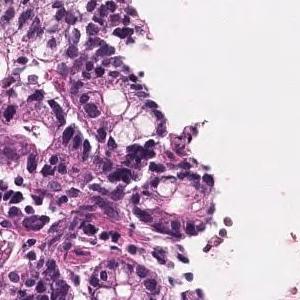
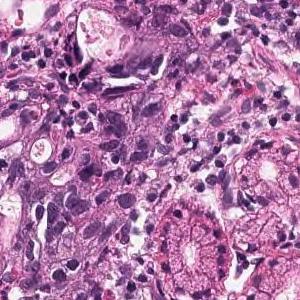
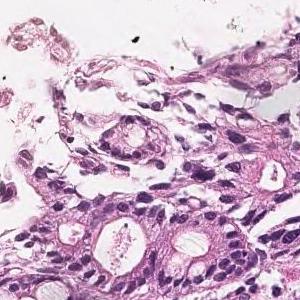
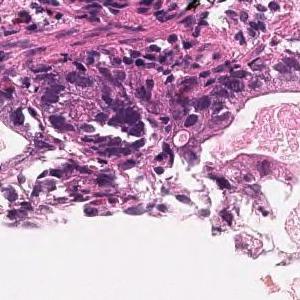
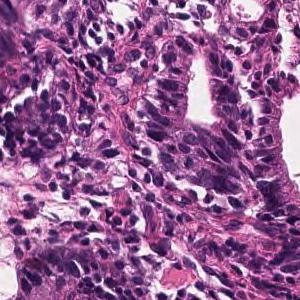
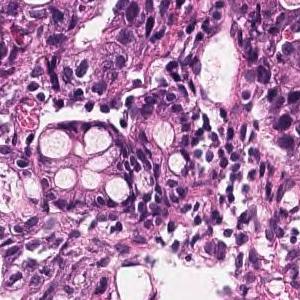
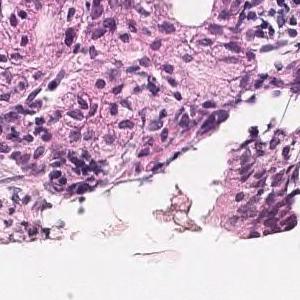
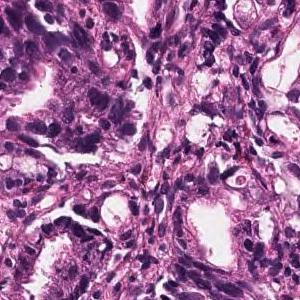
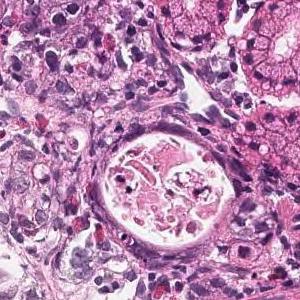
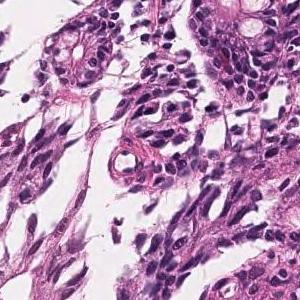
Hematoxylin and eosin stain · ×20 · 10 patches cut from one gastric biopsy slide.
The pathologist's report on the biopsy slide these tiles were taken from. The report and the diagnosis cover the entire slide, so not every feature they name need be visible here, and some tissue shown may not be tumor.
On the superficial epithelium, tumor tissue consisting of large, irregular glandular ducts partially fused and infiltrated is observed. Well to moderately differentiated tubular adenocarcinoma (well differentiated tubular adenocarcinoma, moderately differentiated tubular adenocarcinoma)
Tumor subtype: well to moderately differentiated tubular adenocarcinoma.
